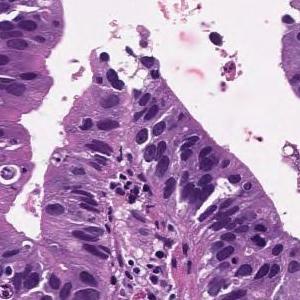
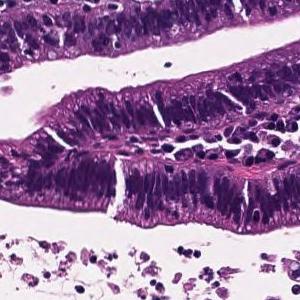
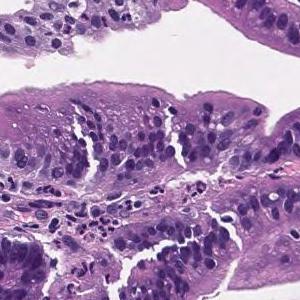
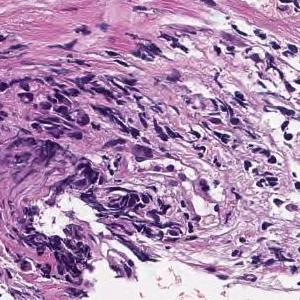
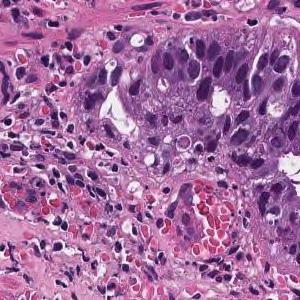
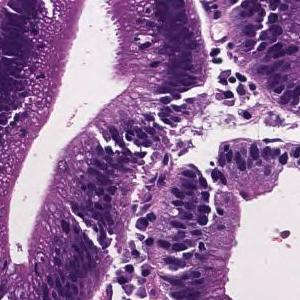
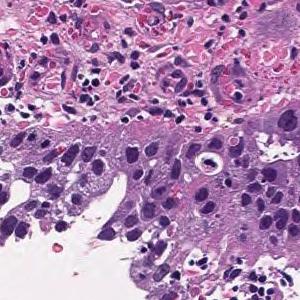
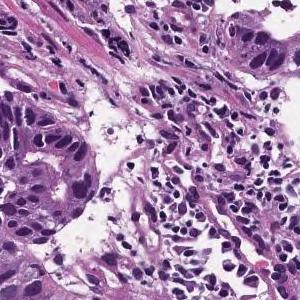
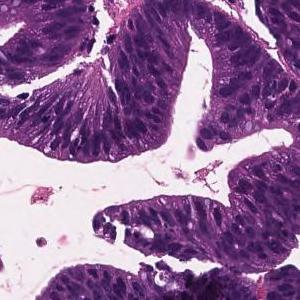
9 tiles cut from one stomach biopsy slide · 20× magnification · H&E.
Pathology report for the biopsy slide these tiles were cut from. Both the report and the diagnosis are for the whole slide: these tiles need not show every feature named, and some of the tissue shown may not be tumor.
Tumor cells are large, highly columnar, large club-shaped nuclei, and are associated with chromatin aggregation. Papillary adenocarcinoma.
